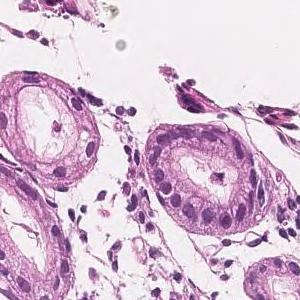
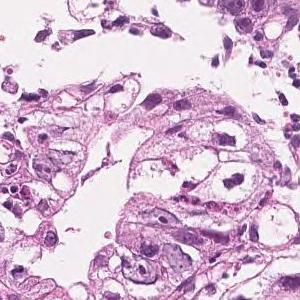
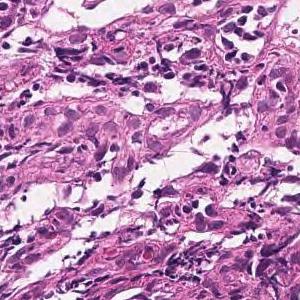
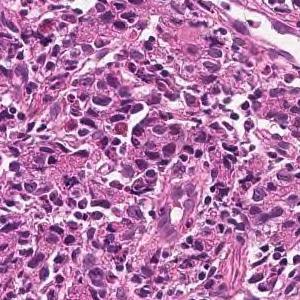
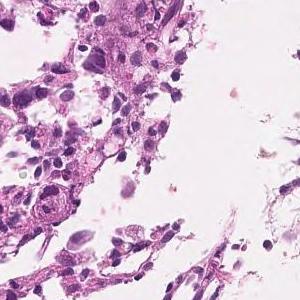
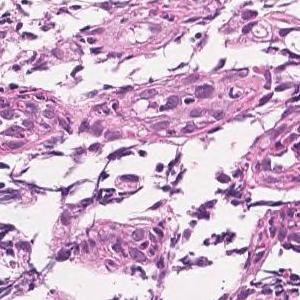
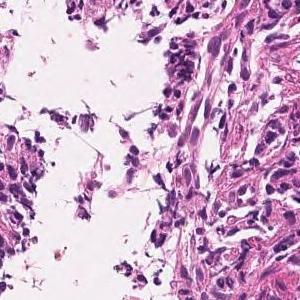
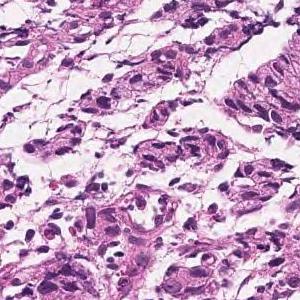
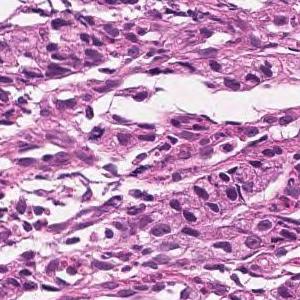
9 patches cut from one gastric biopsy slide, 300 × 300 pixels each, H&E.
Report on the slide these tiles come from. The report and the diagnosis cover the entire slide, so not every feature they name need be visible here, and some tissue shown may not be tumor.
In the superficial epithelium, medium to small, irregular glandular ducts are formed, and in some parts, the glandular ducts are fused, and in other parts, small cord-like infiltrating tumor tissue is observed. Moderately to poorly differentiated adenocarcinoma.
